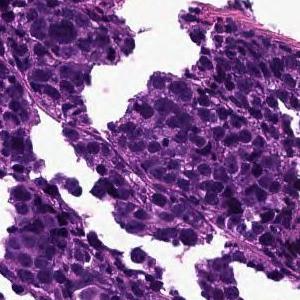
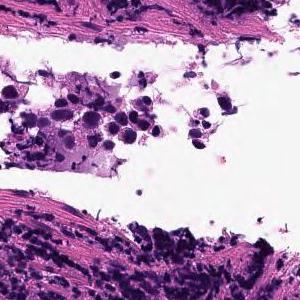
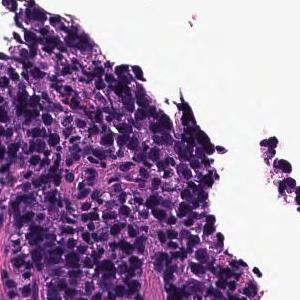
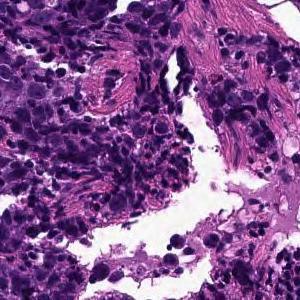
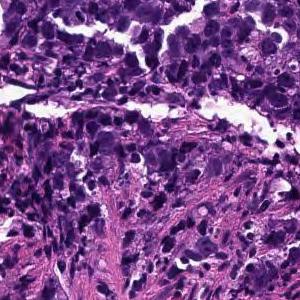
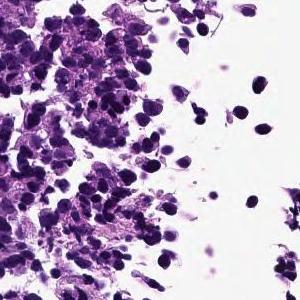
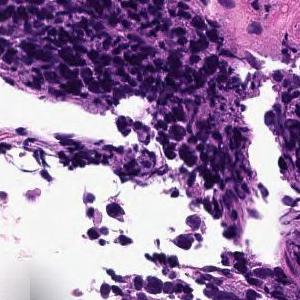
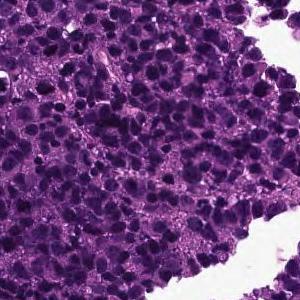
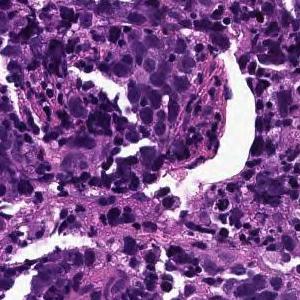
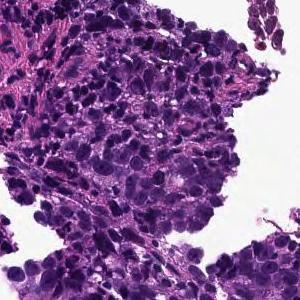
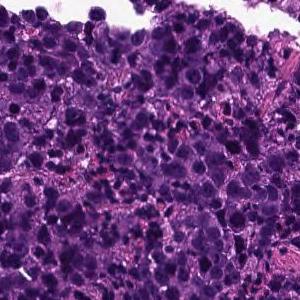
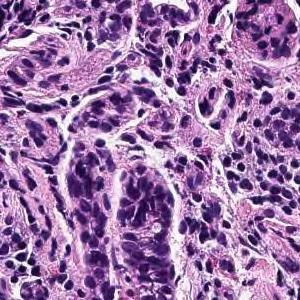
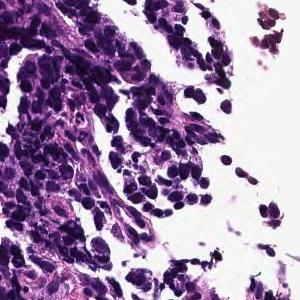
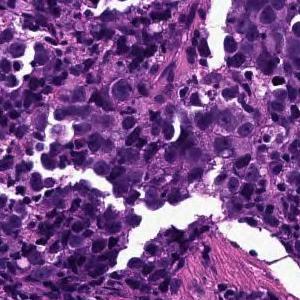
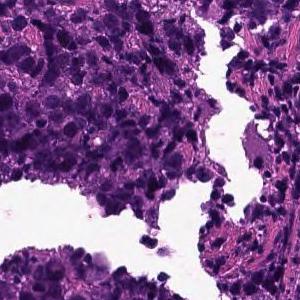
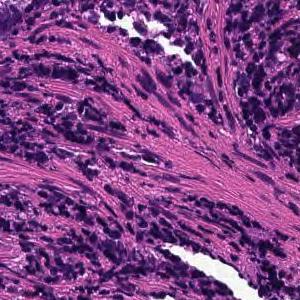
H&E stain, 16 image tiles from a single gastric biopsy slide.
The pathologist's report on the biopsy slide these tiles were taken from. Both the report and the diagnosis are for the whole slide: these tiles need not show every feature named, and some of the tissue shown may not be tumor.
The superficial epithelium shows large alveolar or sheet-like forms, and some tumor tissue infiltrates with small irregular ducts. Poorly differentiated adenocarcinoma, solid-type
Subtype: Poorly differentiated adenocarcinoma, solid type, a category of the Japanese Classification of Gastric Carcinoma; in the WHO 2019 classification it is tubular adenocarcinoma, poorly differentiated.
